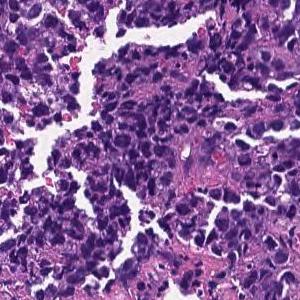
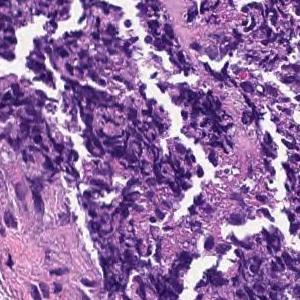
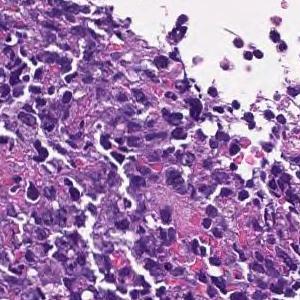
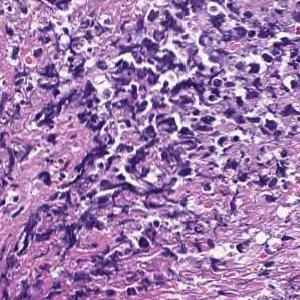
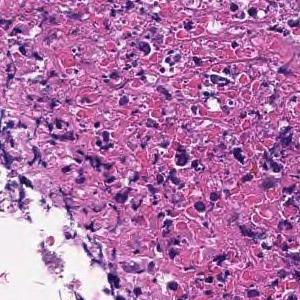
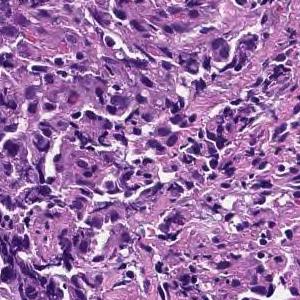
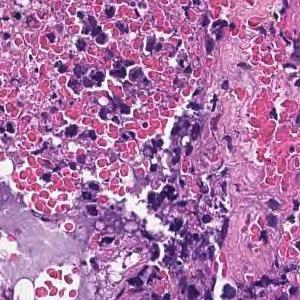
7 image tiles from a single gastric biopsy slide, 300×300 px each, H&E stain, 20× magnification.
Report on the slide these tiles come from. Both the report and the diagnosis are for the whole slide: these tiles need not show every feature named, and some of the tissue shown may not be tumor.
Most are composed of coagulative necrotic tissue, but some show a large sheet-like shape, and some show tumor tissue infiltrating with a small cord-like structure. Poorly differentiated adenocarcinoma, solid-type
Tumor subtype: poorly differentiated adenocarcinoma, solid type, a category of the Japanese Classification of Gastric Carcinoma; in the WHO 2019 classification it is tubular adenocarcinoma, poorly differentiated.
